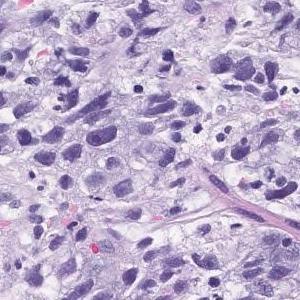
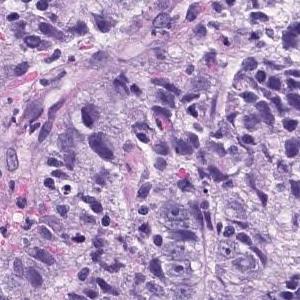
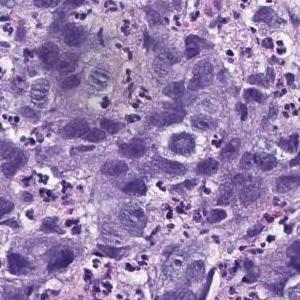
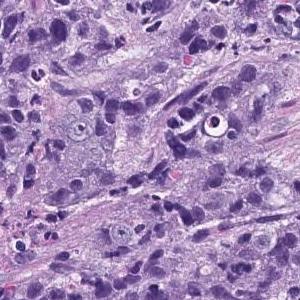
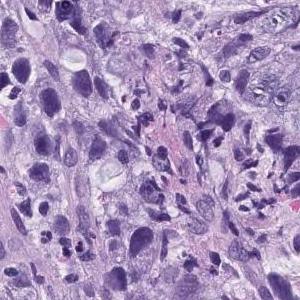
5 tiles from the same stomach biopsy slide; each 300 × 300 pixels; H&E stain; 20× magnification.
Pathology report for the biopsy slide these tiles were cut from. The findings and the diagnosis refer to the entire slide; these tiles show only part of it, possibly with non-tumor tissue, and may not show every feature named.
Atypical l cells with atypical nuclei forming solid vesicles or small irregular atypical ducts that proliferate in a complex manner. poorly differentiated adenocarcinoma, solid type, moderately differentiated tubular adenocarcinoma
The solid type named here is a Japanese Classification of Gastric Carcinoma category; WHO 2019 calls it tubular adenocarcinoma, poorly differentiated.
